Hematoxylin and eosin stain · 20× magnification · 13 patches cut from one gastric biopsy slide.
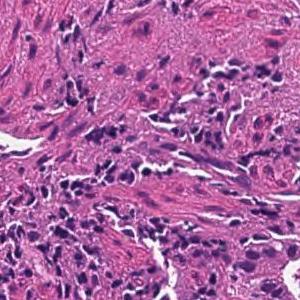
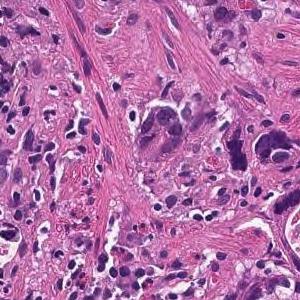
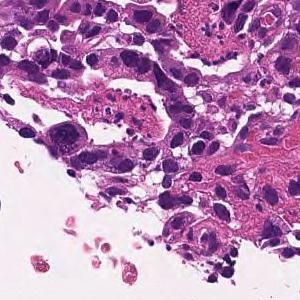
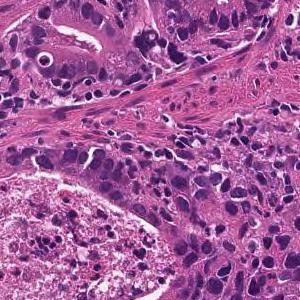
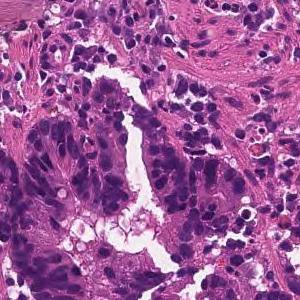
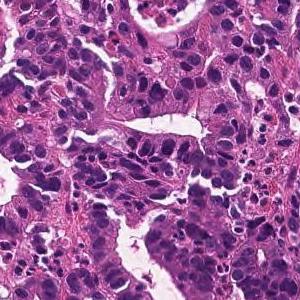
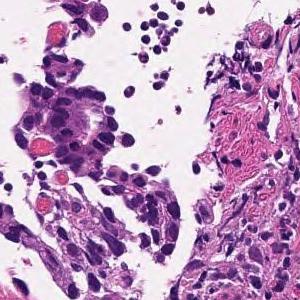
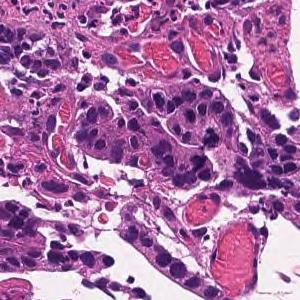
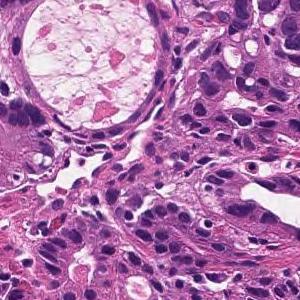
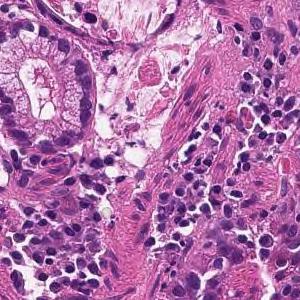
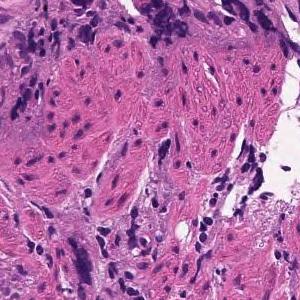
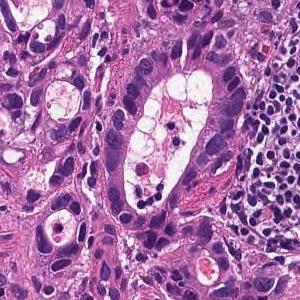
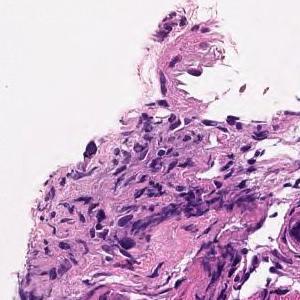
Pathology report for the slide these tiles were cut from. The findings and the diagnosis refer to the entire slide; these tiles show only part of it, possibly with non-tumor tissue, and may not show every feature named.
In the superficial epithelium, tumor tissue that invades by forming medium-sized to small, irregular ducts is observed. moderately differentiated tubular adenocarcinoma.
